10 patches cut from one gastric biopsy slide; 300×300 px each.
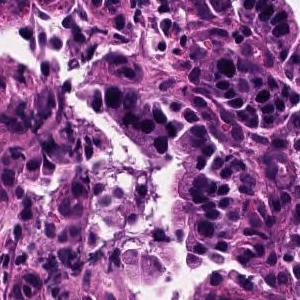
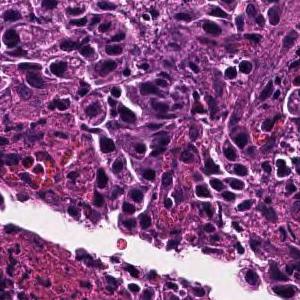
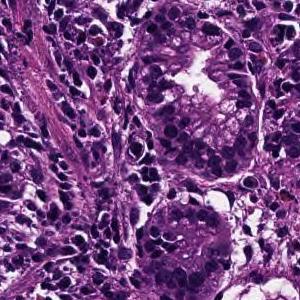
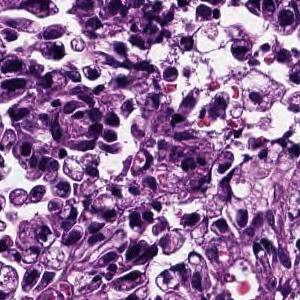
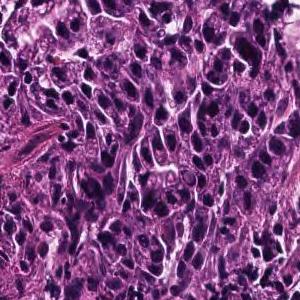
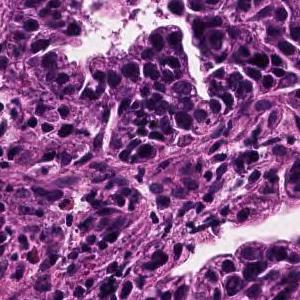
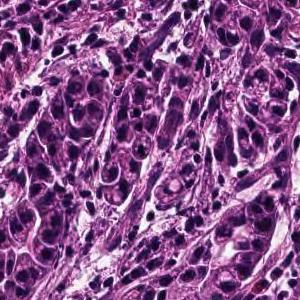
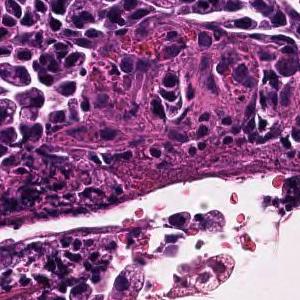
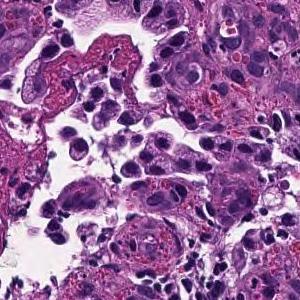
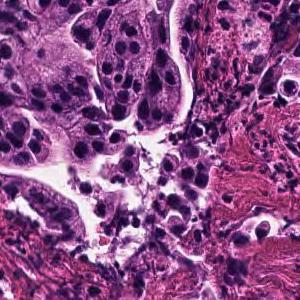
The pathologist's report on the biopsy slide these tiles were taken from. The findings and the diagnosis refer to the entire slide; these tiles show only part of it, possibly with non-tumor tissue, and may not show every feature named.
Tumor cells are large, highly columnar, large club-shaped nuclei, and are associated with chromatin aggregation. Papillary adenocarcinoma.
